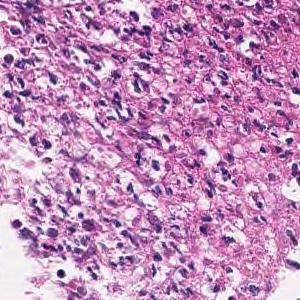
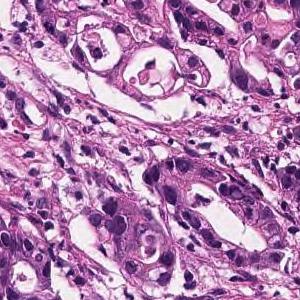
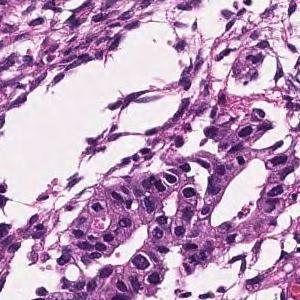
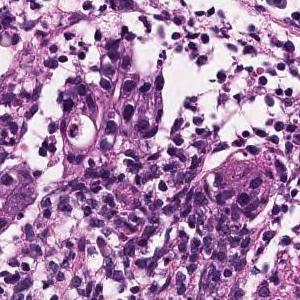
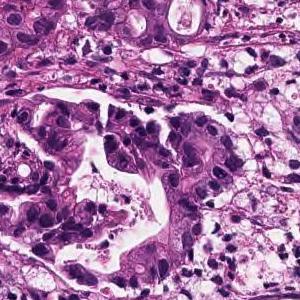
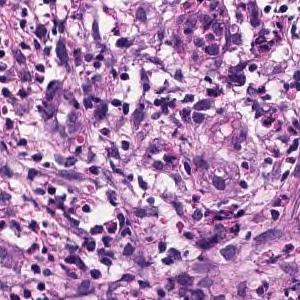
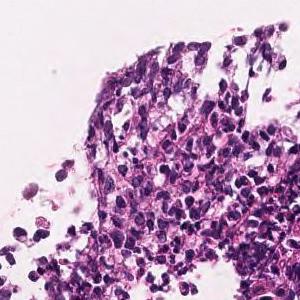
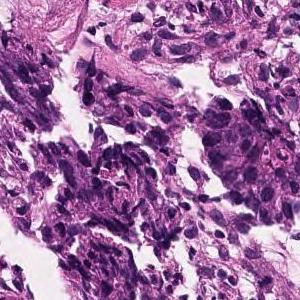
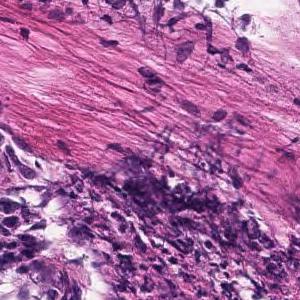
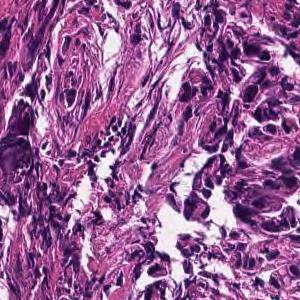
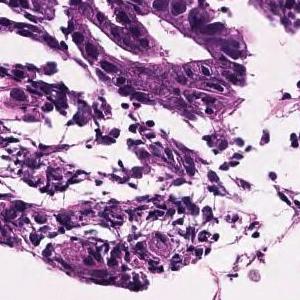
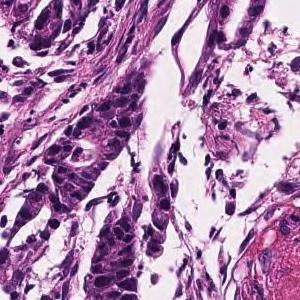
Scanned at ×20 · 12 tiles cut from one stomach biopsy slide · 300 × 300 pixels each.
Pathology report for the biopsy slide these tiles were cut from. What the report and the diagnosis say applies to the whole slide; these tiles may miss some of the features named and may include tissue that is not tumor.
In the superficial epithelium, medium to small, irregular gland ducts are formed, and in some cases, the gland ducts are fused to show solid alveolar lesions and infiltrating tumor tissue is observed. Moderately to poorly differentiated adenocarcinoma.
